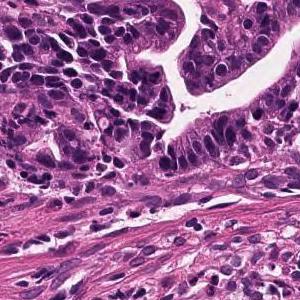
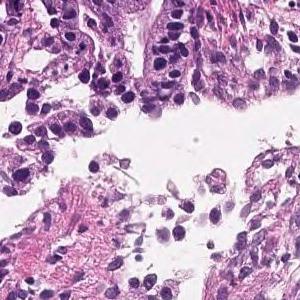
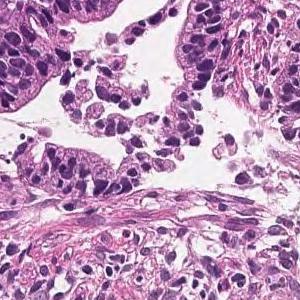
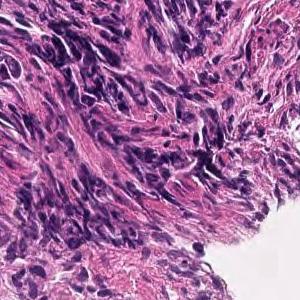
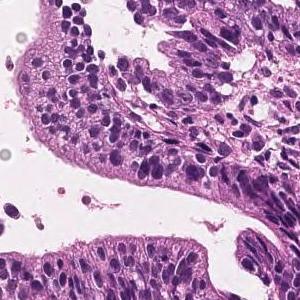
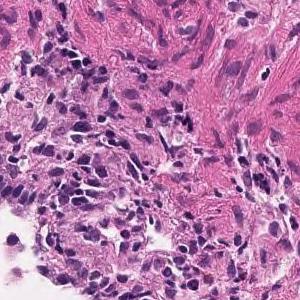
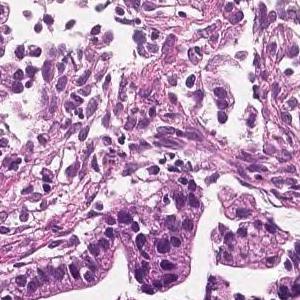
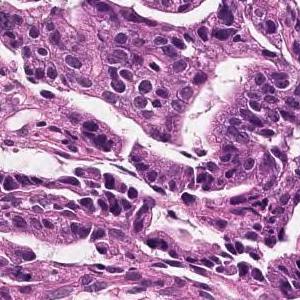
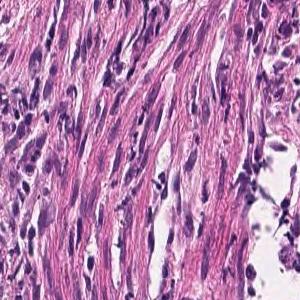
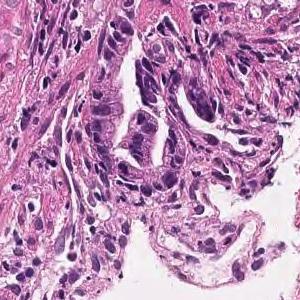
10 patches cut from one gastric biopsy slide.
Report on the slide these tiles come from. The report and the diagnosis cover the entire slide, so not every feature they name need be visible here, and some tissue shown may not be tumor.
Tumor cells are large, highly columnar, large club-shaped nuclei, and are associated with chromatin aggregation. Papillary adenocarcinoma.
